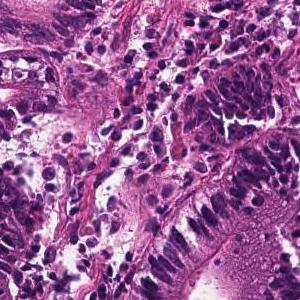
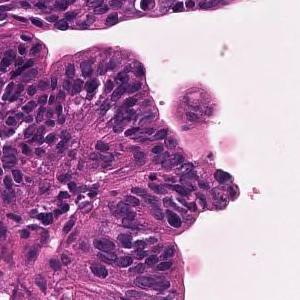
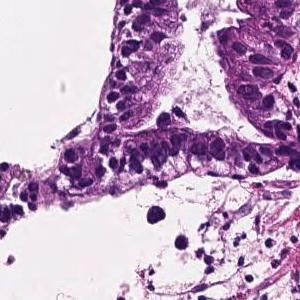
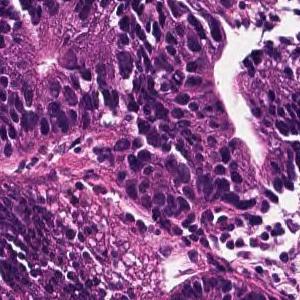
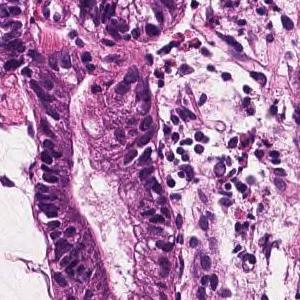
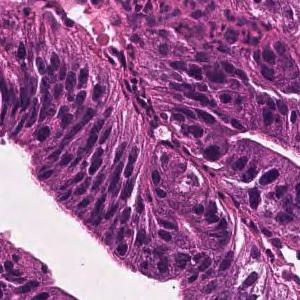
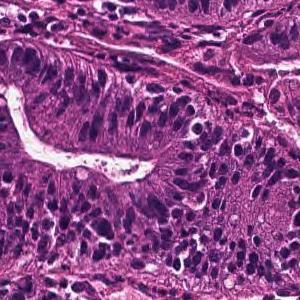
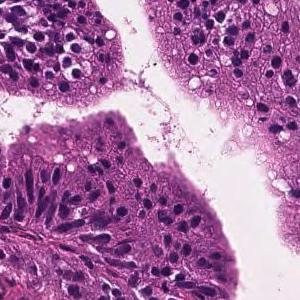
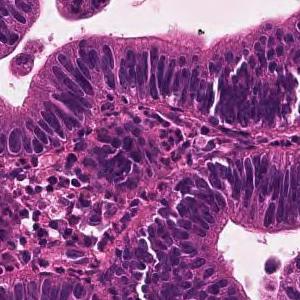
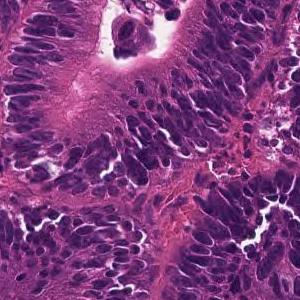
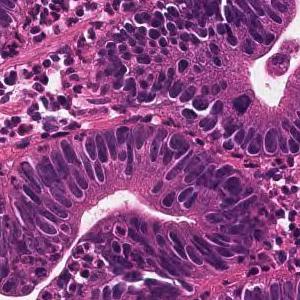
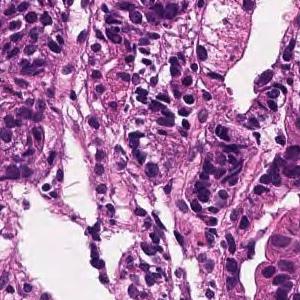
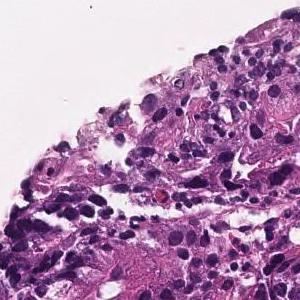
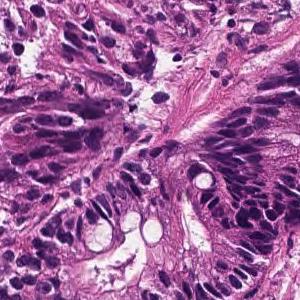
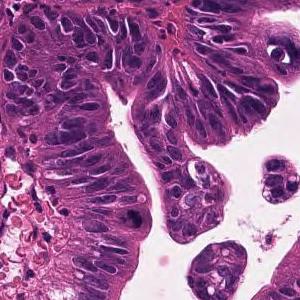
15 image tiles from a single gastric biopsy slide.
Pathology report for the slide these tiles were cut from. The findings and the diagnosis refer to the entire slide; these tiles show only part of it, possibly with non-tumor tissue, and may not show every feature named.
A large irregular tubular structure is exhibited in the epithelium, and tumor tissue that partially fuses and infiltrates and proliferates is observed. Large columnar tumor cells exhibit enlarged nucleus, hyperchromatism, and mitotic figures. Well differentiated tubular adenocarcinoma
